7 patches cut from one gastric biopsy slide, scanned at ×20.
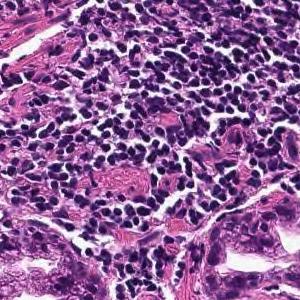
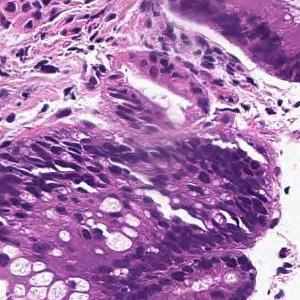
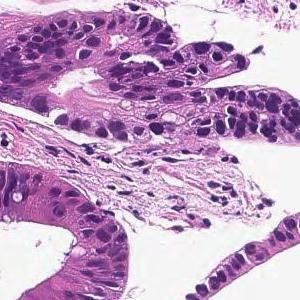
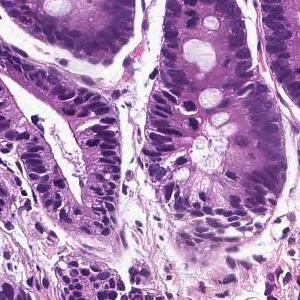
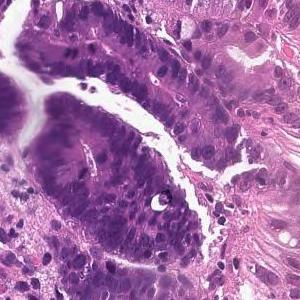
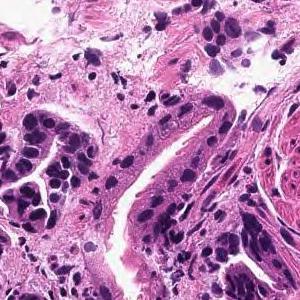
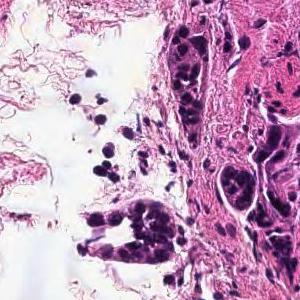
Pathology report for the biopsy slide these tiles were cut from. The report describes the whole slide, diagnosis included: not every finding it names need appear in these tiles, which may also show non-tumor tissue.
From the superficial epithelium to the muscularis mucosae, tumor tissue consisting of medium-sized and irregular glandular ducts infiltrating is observed. Well differentiated tubular adenocarcinoma
